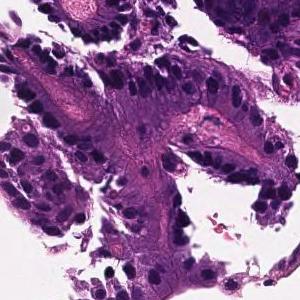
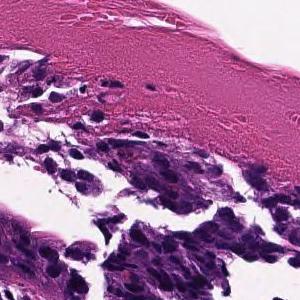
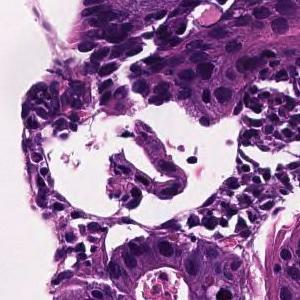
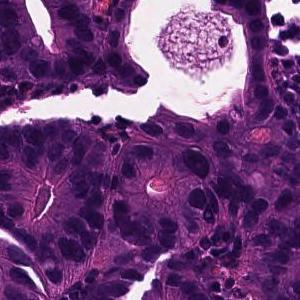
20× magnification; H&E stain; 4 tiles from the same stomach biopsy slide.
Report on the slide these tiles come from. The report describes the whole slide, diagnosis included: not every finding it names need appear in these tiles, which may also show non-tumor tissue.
From the superficial epithelium to the muscularis mucosae, tumor tissue infiltrating by forming medium-sized irregular gland ducts is observed. Large tumor cells exhibit large nucleus and hyperchromatism. Well differentiated tubular adenocarcinoma
